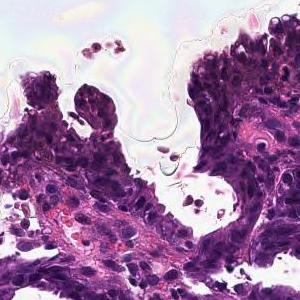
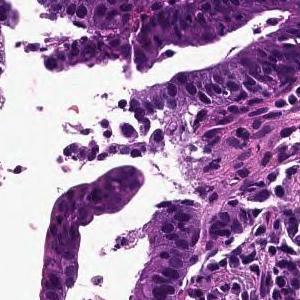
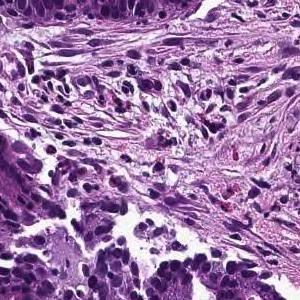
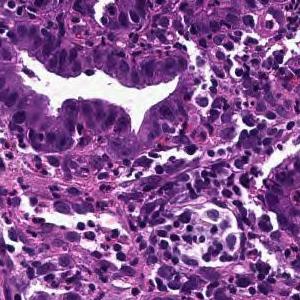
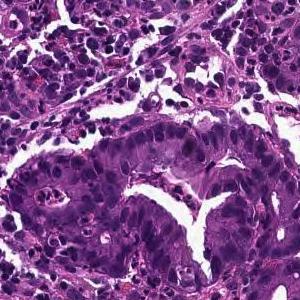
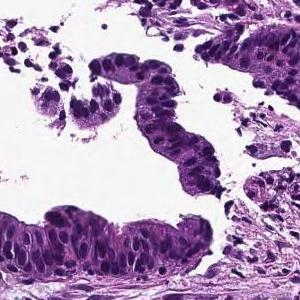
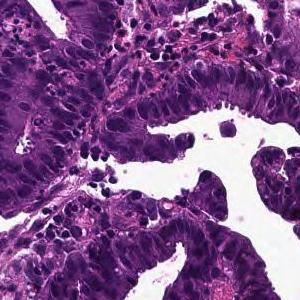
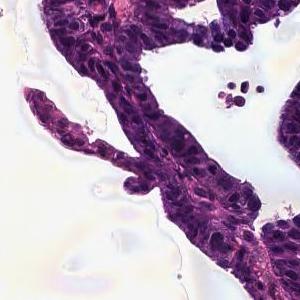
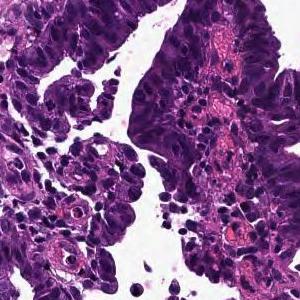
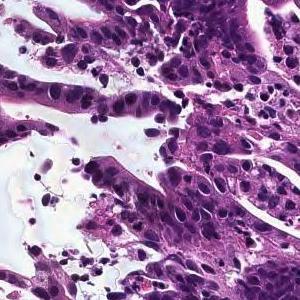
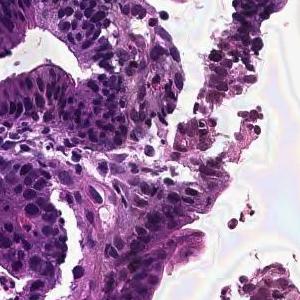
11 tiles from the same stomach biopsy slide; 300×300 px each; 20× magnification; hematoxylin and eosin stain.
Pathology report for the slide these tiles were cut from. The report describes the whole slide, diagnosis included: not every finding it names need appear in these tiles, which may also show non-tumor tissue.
Tumor cells are large, highly columnar, large club-shaped nuclei, and are associated with chromatin aggregation. Papillary adenocarcinoma.
